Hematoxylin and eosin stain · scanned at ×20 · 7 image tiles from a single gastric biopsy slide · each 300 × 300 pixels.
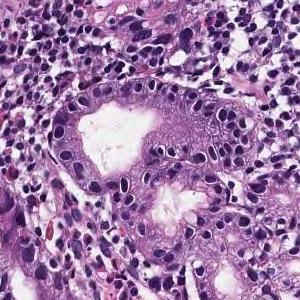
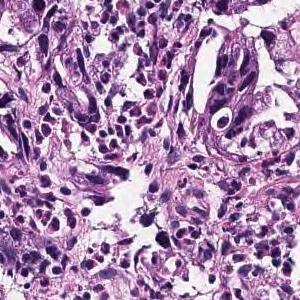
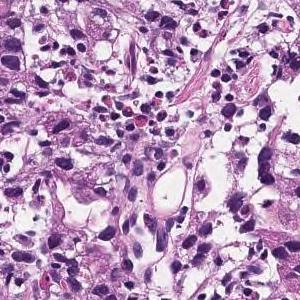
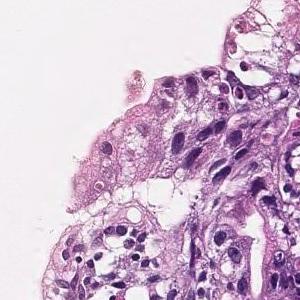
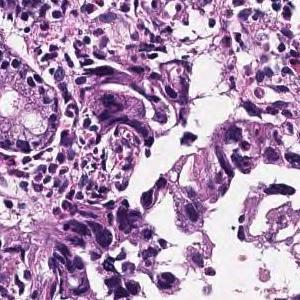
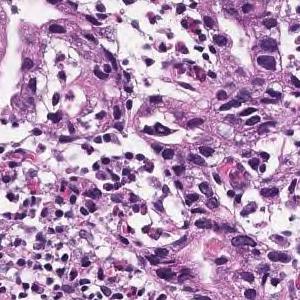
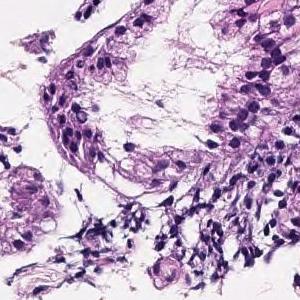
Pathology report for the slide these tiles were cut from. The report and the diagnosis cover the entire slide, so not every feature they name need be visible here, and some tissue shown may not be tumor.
In the superficial epithelium, tumor tissue that invades by forming medium-sized to small, irregular ducts is observed. moderately differentiated tubular adenocarcinoma.
